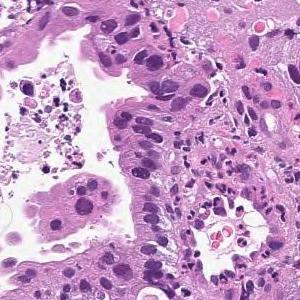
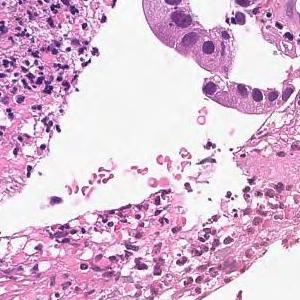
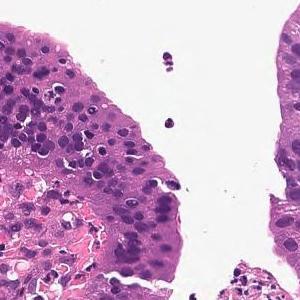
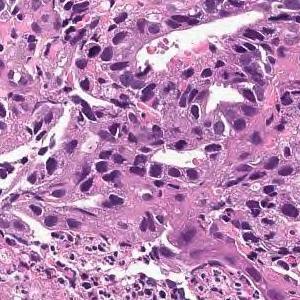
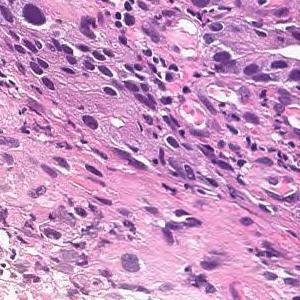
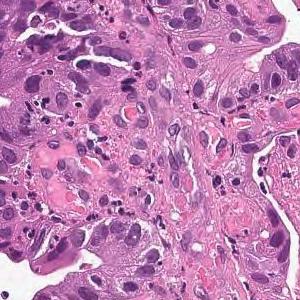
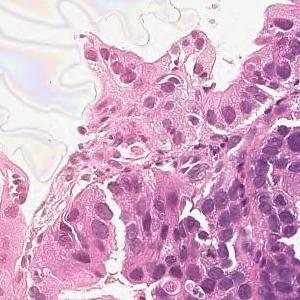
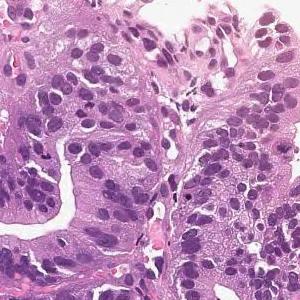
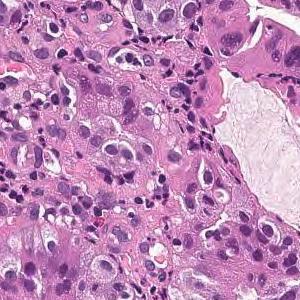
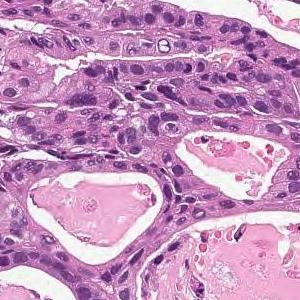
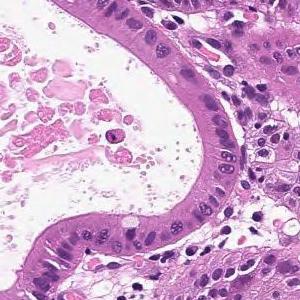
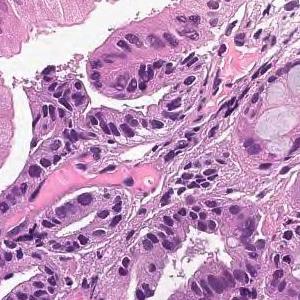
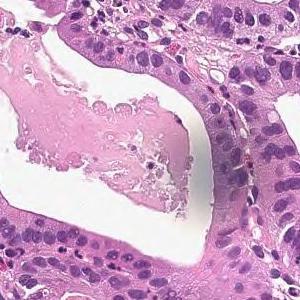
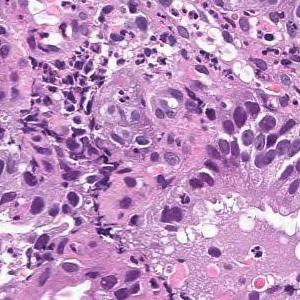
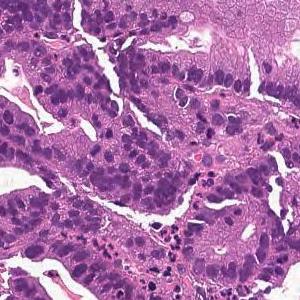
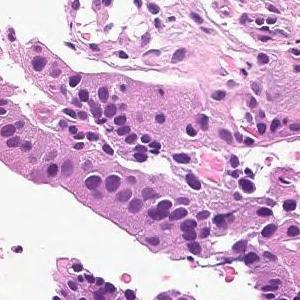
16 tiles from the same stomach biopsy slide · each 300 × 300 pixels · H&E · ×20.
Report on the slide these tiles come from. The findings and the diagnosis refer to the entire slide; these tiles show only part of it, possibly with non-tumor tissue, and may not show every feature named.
From the superficial epithelium to the muscularis mucosae, tumor tissue consisting of medium-sized and irregular glandular ducts infiltrating is observed. Well differentiated tubular adenocarcinoma
